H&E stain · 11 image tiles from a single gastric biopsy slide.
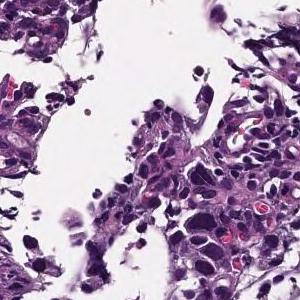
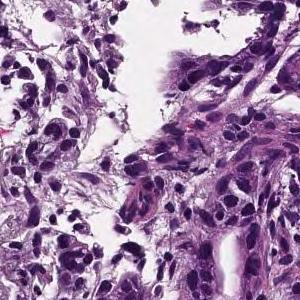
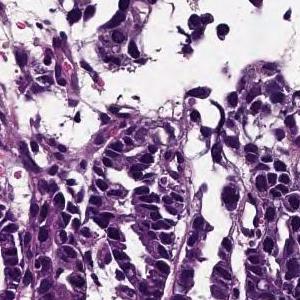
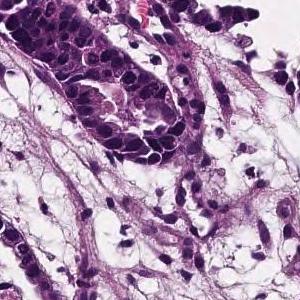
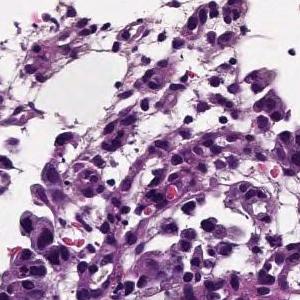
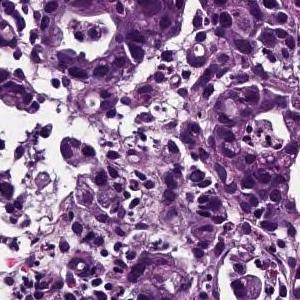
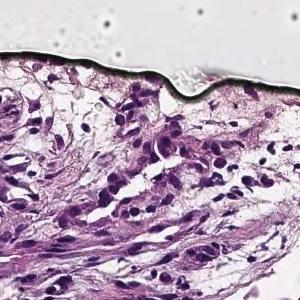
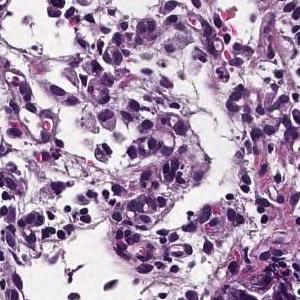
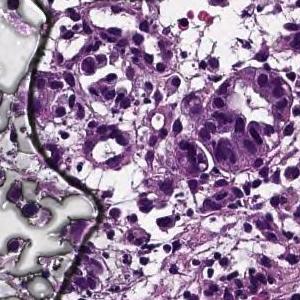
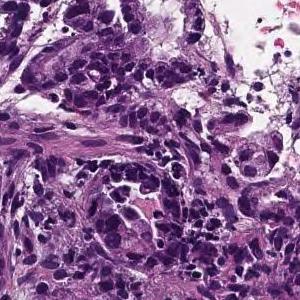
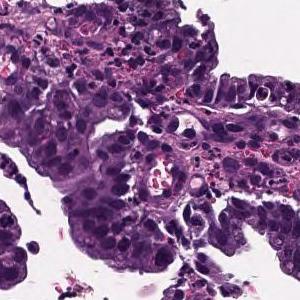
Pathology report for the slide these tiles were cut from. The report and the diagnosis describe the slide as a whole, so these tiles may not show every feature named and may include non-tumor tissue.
Medium to small, irregular glandular ducts are formed in the superficial epithelium, and in some cases, the glandular ducts are fused to show solid alveolar lesions and infiltrating tumor tissue is observed. Moderately to poorly differentiated adenocarcinoma.
